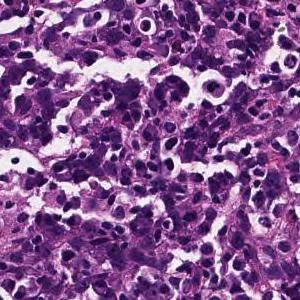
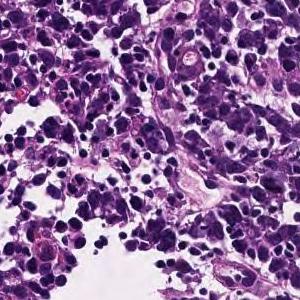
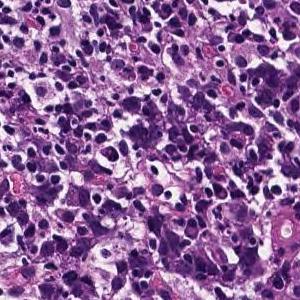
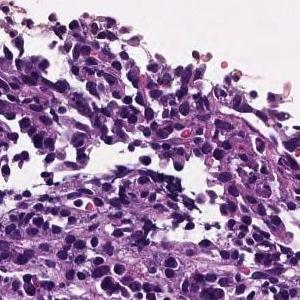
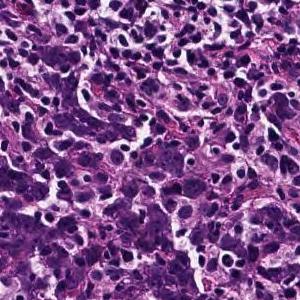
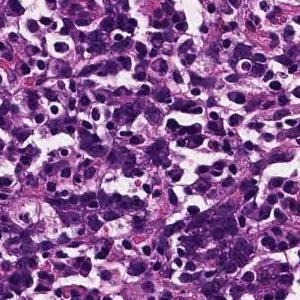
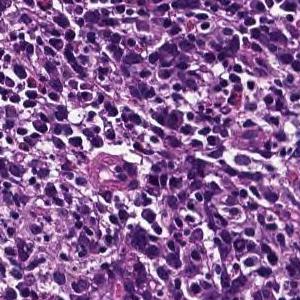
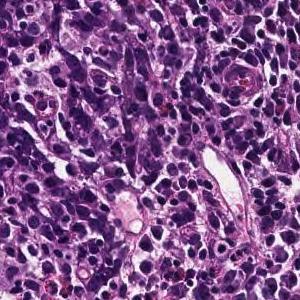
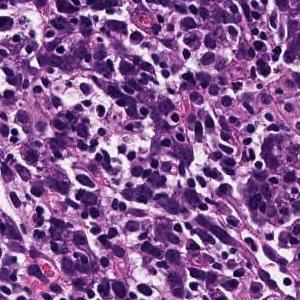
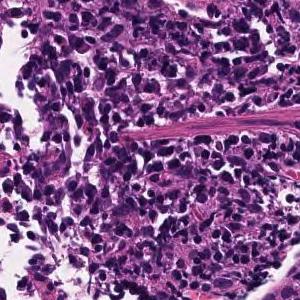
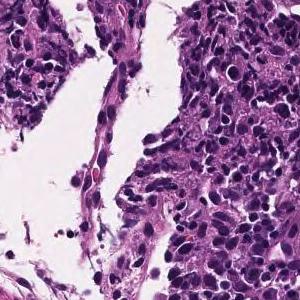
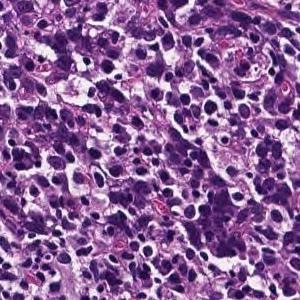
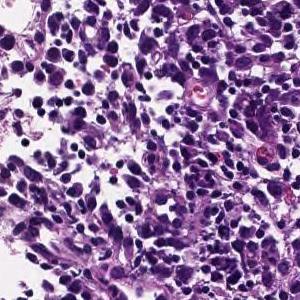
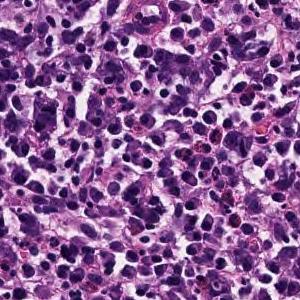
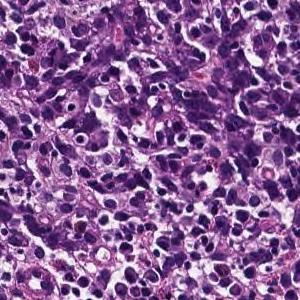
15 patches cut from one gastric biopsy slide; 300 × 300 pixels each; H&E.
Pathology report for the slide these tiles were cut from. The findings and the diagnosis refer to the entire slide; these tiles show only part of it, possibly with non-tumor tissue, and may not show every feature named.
Tumor tissue consisting of cord-like or small, irregular glandular ducts fused and infiltrated is observed in the superficial epithelium. Poorly differentiated adenocarcinoma, non-solid type
The non-solid type named here is a Japanese Classification of Gastric Carcinoma category.
